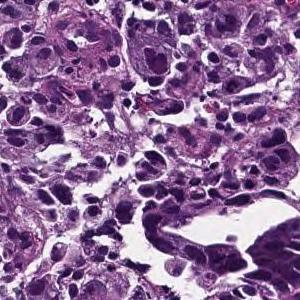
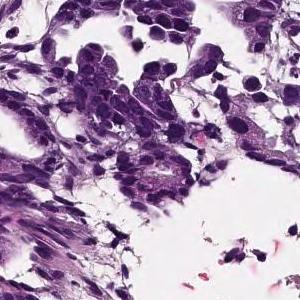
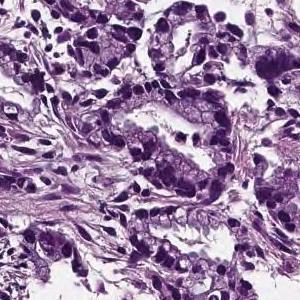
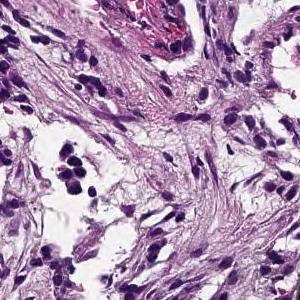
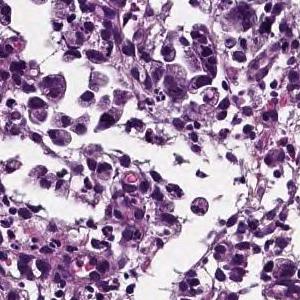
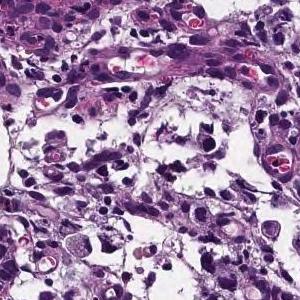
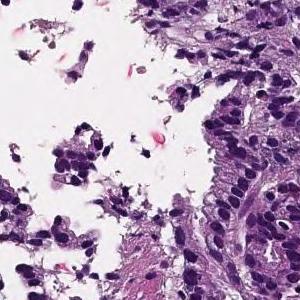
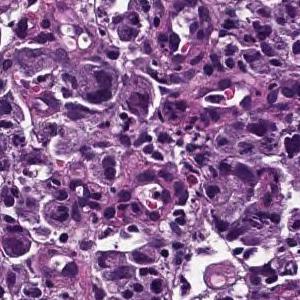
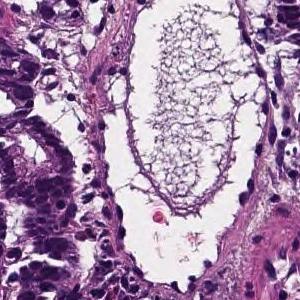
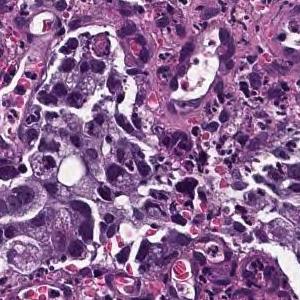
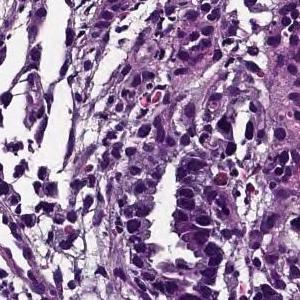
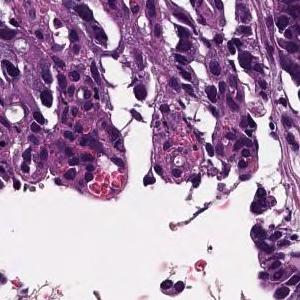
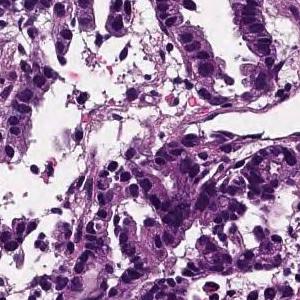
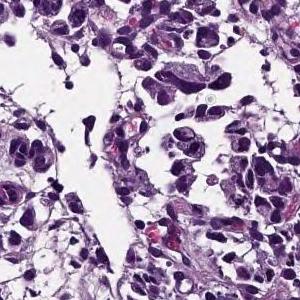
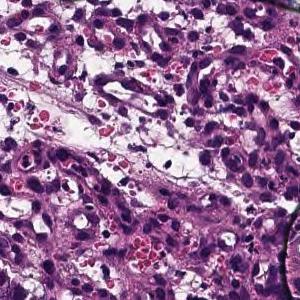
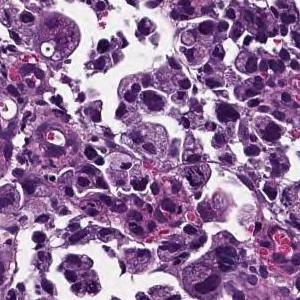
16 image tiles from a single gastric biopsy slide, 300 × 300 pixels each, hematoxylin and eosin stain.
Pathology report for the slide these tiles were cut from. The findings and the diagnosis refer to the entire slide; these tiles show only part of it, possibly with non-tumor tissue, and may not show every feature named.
Medium to small, irregular glandular ducts are formed in the superficial epithelium, and in some cases, the glandular ducts are fused to show solid alveolar lesions and infiltrating tumor tissue is observed. Moderately to poorly differentiated adenocarcinoma.
